11 tiles cut from one stomach biopsy slide, H&E.
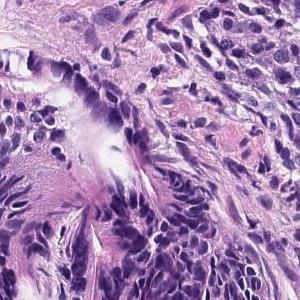
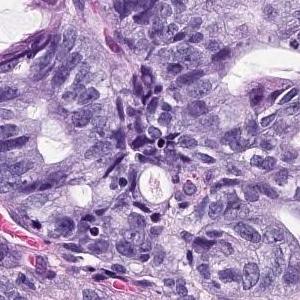
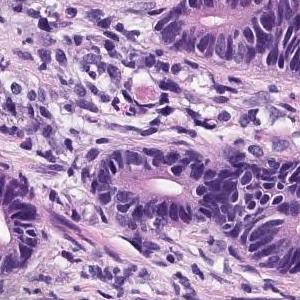
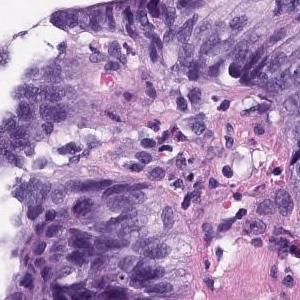
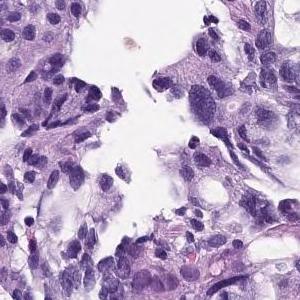
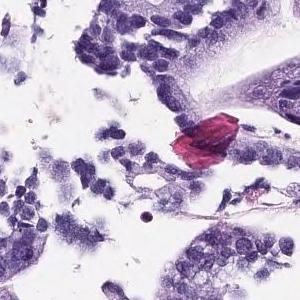
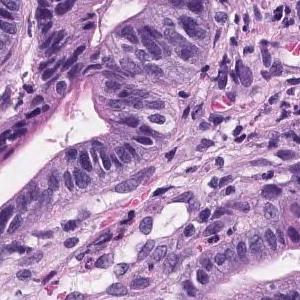
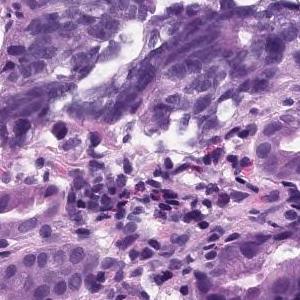
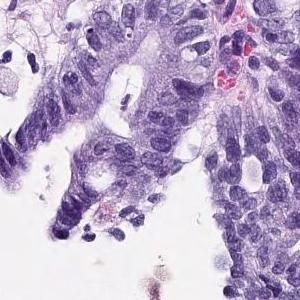
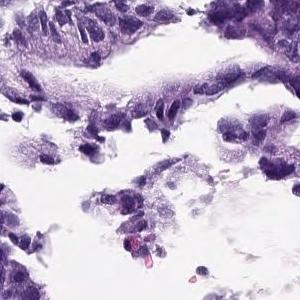
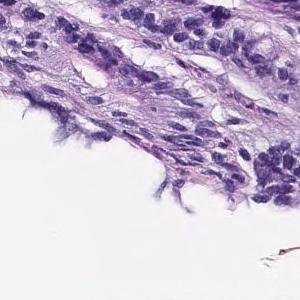
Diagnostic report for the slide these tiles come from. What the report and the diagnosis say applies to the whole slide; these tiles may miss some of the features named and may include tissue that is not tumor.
On the superficial epithelium, tumor tissue consisting of medium-sized to large-sized, round or irregular glandular duct growth images is observed. Well differentiated adenocarcinoma.
Classified as well differentiated tubular adenocarcinoma.
